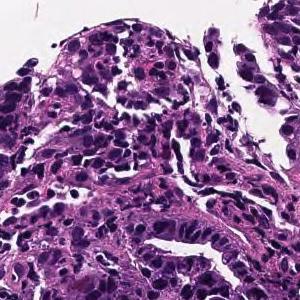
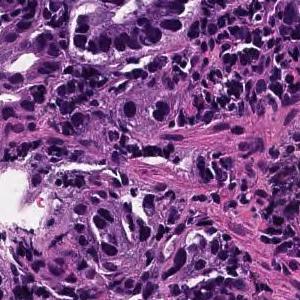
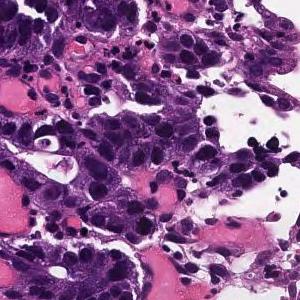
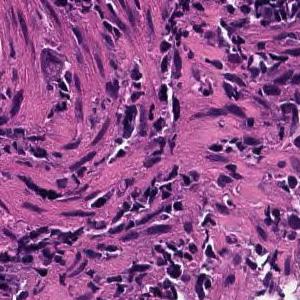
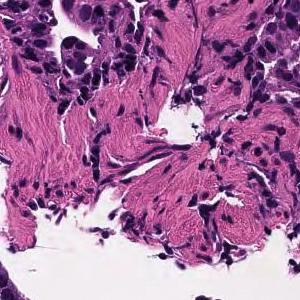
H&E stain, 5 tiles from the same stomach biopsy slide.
Pathology report for the slide these tiles were cut from. Both the report and the diagnosis are for the whole slide: these tiles need not show every feature named, and some of the tissue shown may not be tumor.
From the superficial epithelium to the muscularis mucosae, tumor tissue consisting of medium-sized and irregular glandular ducts infiltrating is observed. Well differentiated tubular adenocarcinoma
